Hematoxylin and eosin stain, ×20, 10 tiles cut from one stomach biopsy slide.
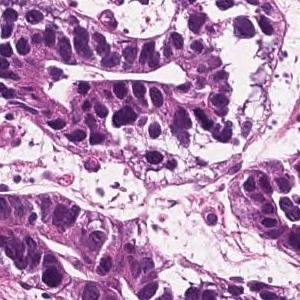
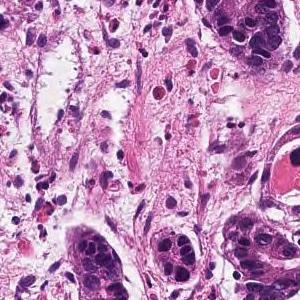
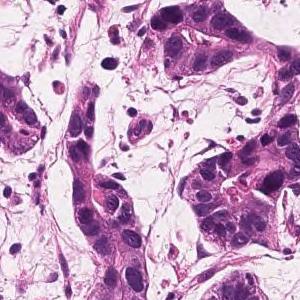
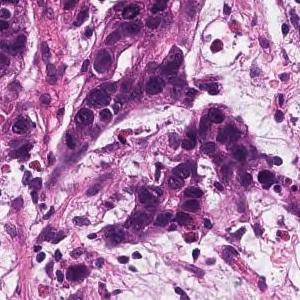
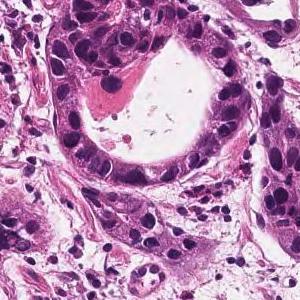
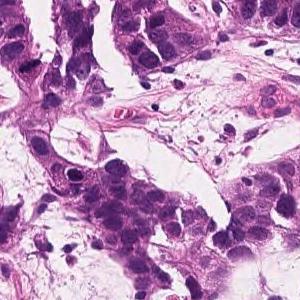
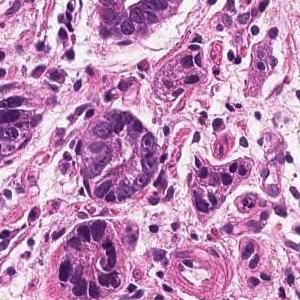
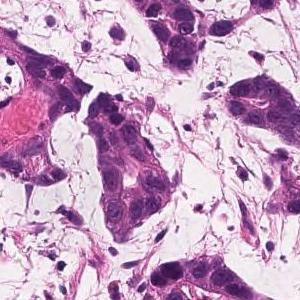
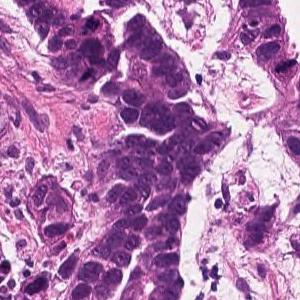
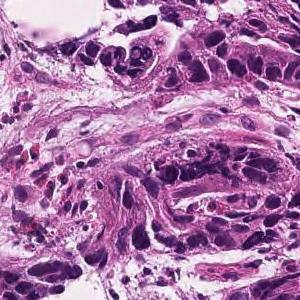
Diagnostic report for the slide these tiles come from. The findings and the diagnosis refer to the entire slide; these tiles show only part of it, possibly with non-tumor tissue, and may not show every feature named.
In the superficial epithelium, tumor tissue that invades by forming medium-sized to small, irregular ducts is observed. Well differentiated tubular adenocarcinoma.
